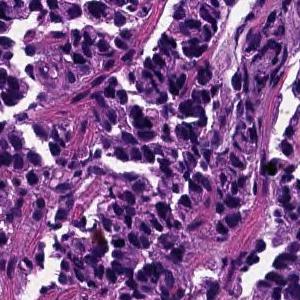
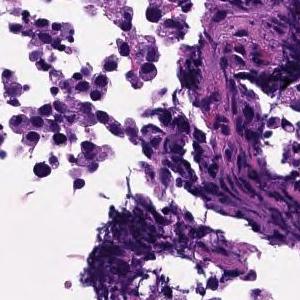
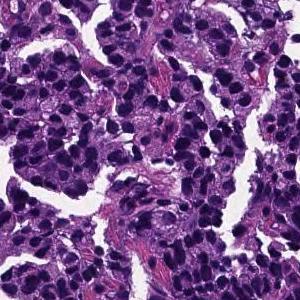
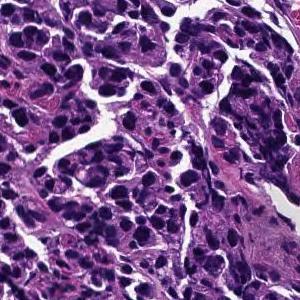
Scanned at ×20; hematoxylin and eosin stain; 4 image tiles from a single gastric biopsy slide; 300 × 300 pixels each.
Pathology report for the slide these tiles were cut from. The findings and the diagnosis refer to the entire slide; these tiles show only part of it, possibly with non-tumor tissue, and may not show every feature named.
The superficial epithelium shows a large alveolar shape and infiltrates tumor tissue. Poorly differentiated adenocarcinoma, solid-type
Histological subtype: Poorly differentiated adenocarcinoma, solid type (Japanese Classification of Gastric Carcinoma). The WHO 2019 equivalent is tubular adenocarcinoma, poorly differentiated.
